Scanned at ×20 · hematoxylin and eosin stain · 6 tiles from the same stomach biopsy slide · each 300 × 300 pixels.
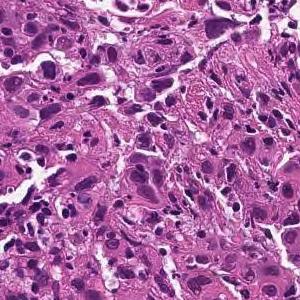
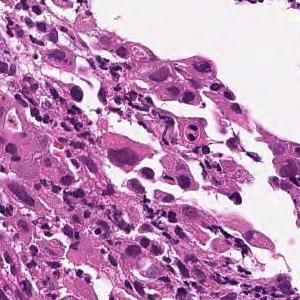
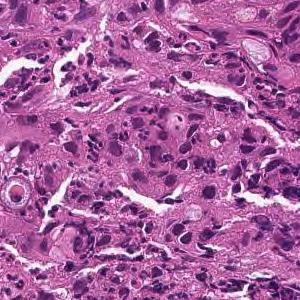
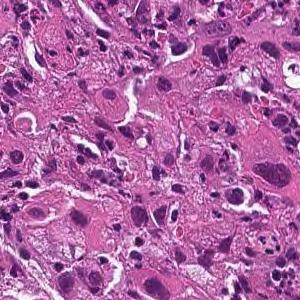
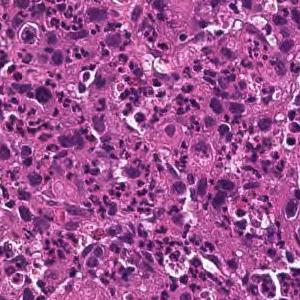
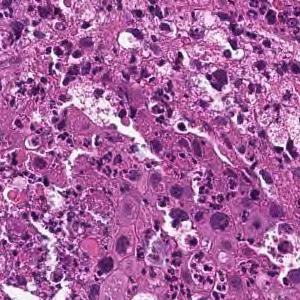
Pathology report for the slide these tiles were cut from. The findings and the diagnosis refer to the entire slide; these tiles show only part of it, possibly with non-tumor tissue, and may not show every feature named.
The superficial epithelium shows a large sheet-like shape, and some tumor tissue infiltrates with small irregular ducts. Poorly differentiated adenocarcinoma, solid-type
Tumor subtype: poorly differentiated adenocarcinoma, solid type (Japanese Classification of Gastric Carcinoma). The WHO 2019 equivalent is tubular adenocarcinoma, poorly differentiated.
